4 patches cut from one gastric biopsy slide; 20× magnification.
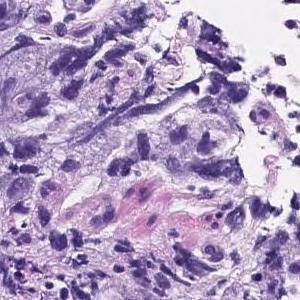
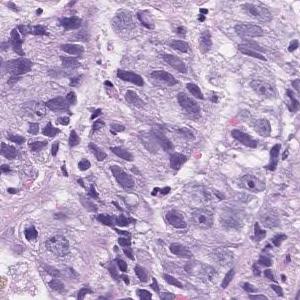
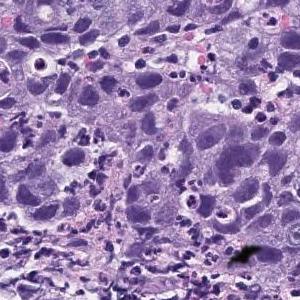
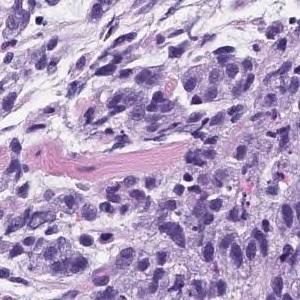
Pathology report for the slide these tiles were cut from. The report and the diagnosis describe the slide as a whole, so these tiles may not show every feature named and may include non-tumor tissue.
Atypical l cells with atypical nuclei forming solid vesicles or small irregular atypical ducts that proliferate in a complex manner. poorly differentiated adenocarcinoma, solid type, moderately differentiated tubular adenocarcinoma
The term "solid type" comes from the Japanese Classification of Gastric Carcinoma; the WHO 2019 equivalent is tubular adenocarcinoma, poorly differentiated.
